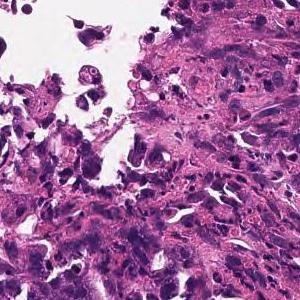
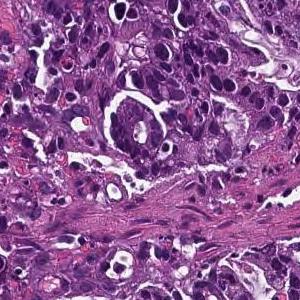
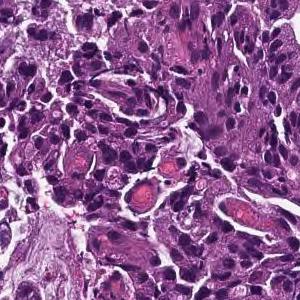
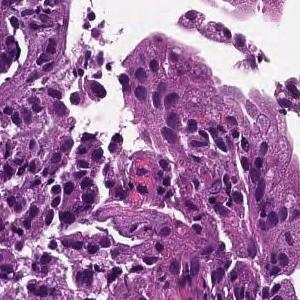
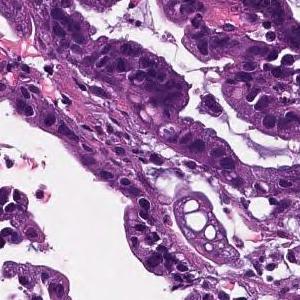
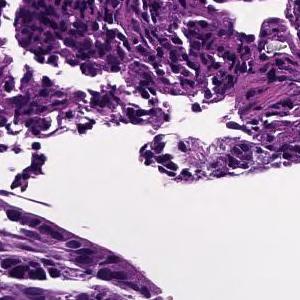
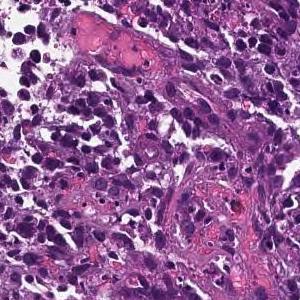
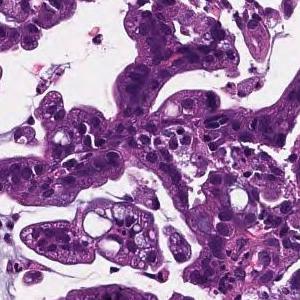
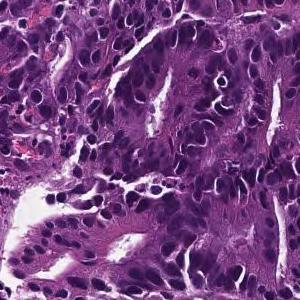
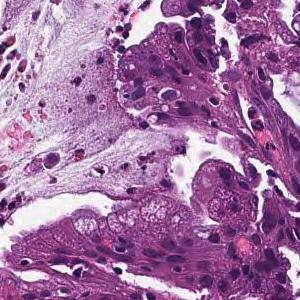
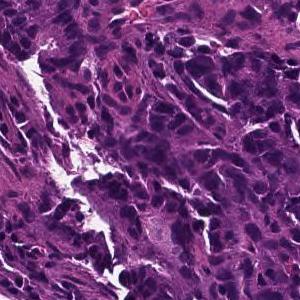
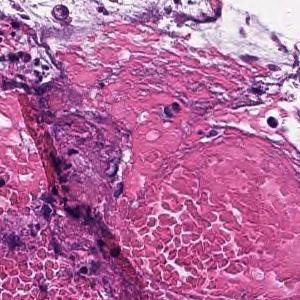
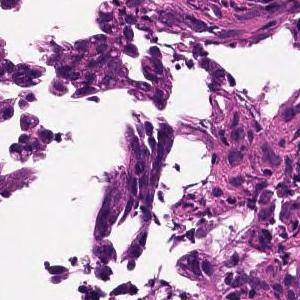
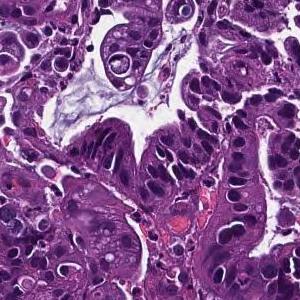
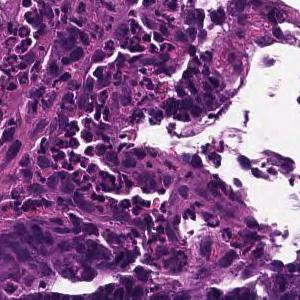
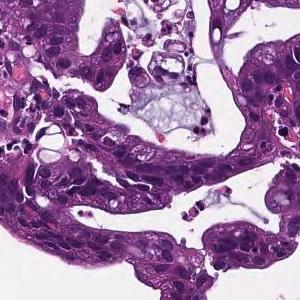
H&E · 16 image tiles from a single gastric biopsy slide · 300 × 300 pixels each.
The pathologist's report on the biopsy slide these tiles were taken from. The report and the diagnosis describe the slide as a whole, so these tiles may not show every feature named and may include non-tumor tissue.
On the superficial epithelium, tumor tissue consisting of large irregular glandular ducts partially fused and infiltrated is observed. Well to moderately differentiated tubular adenocarcinoma (well differentiated tubular adenocarcinoma, moderately differentiated tubular adenocarcinoma)
Classified as well to moderately differentiated tubular adenocarcinoma.
